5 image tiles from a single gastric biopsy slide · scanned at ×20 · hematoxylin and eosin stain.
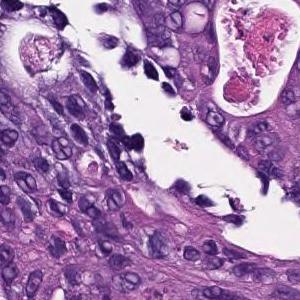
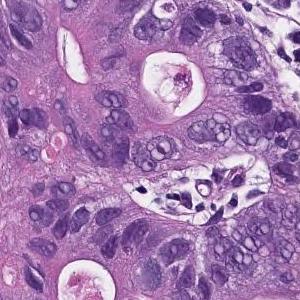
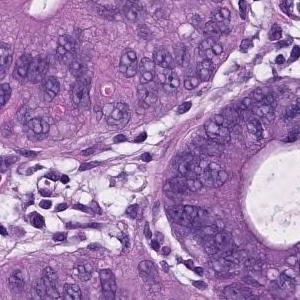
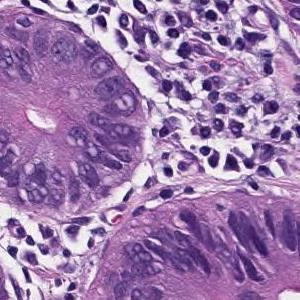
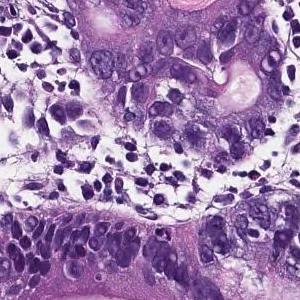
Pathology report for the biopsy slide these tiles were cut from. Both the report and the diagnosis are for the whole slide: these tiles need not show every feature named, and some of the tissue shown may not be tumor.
In the superficial epithelium, tumor tissue that invades by forming medium-sized to small, irregular ducts is observed. moderately differentiated tubular adenocarcinoma.
